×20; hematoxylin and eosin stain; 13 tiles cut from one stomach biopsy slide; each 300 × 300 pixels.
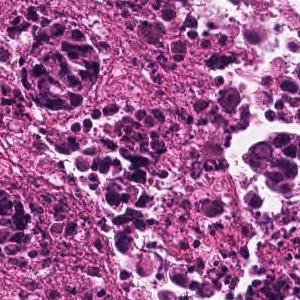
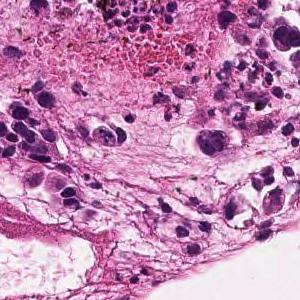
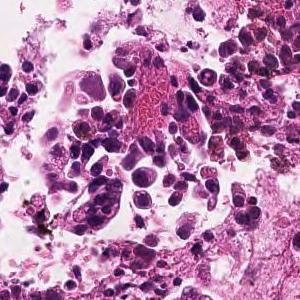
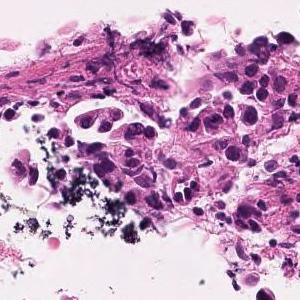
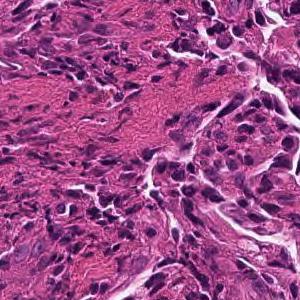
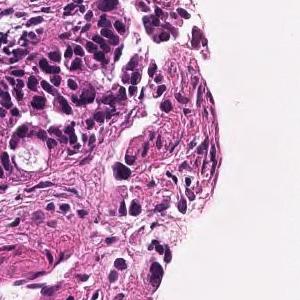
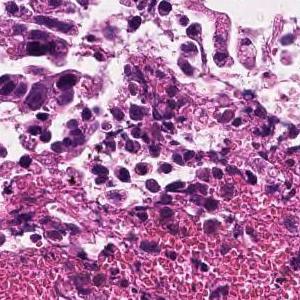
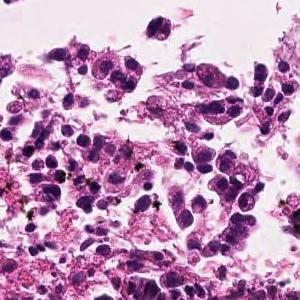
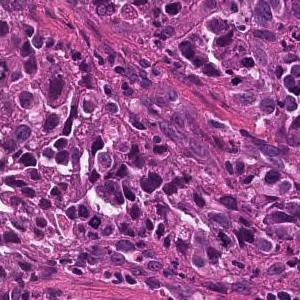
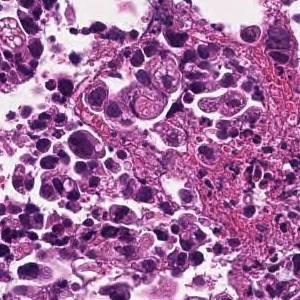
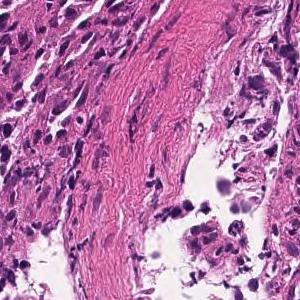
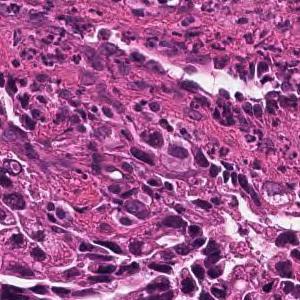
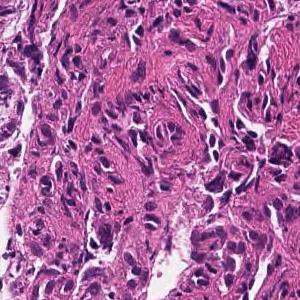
Diagnostic report for the slide these tiles come from. The findings and the diagnosis refer to the entire slide; these tiles show only part of it, possibly with non-tumor tissue, and may not show every feature named.
In the superficial epithelium, tumor tissue that invades by forming medium-sized to small, irregular ducts is observed. moderately differentiated tubular adenocarcinoma.
